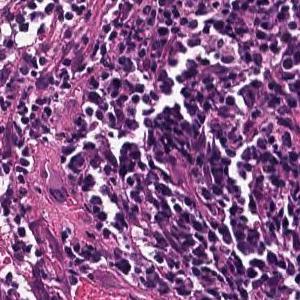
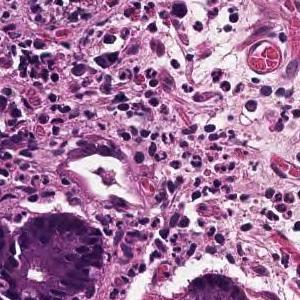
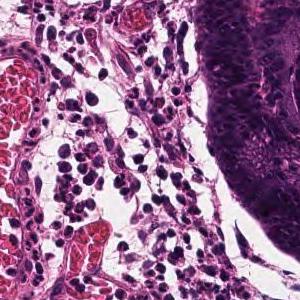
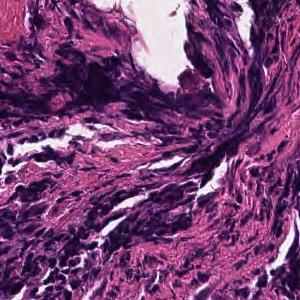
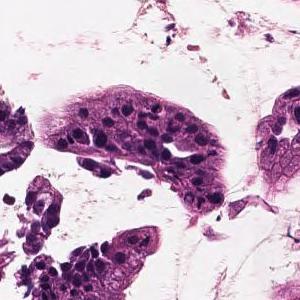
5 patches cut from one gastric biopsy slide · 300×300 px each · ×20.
Pathology report for the slide these tiles were cut from. Both the report and the diagnosis are for the whole slide: these tiles need not show every feature named, and some of the tissue shown may not be tumor.
Tumor tissue consisting of cord-like or small, irregular glandular ducts fused and infiltrated is observed in the superficial epithelium. Poorly differentiated adenocarcinoma, non-solid type
The non-solid type named here is a Japanese Classification of Gastric Carcinoma category.
